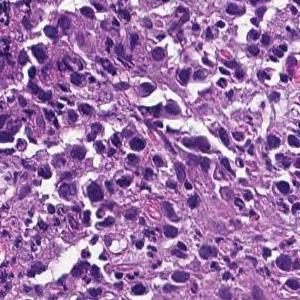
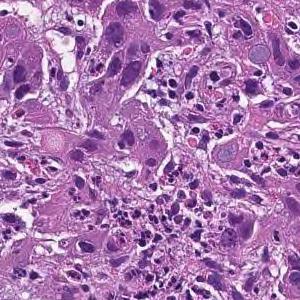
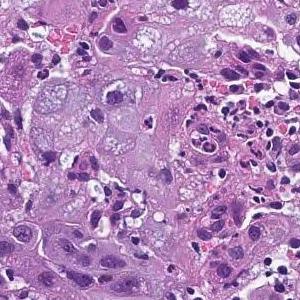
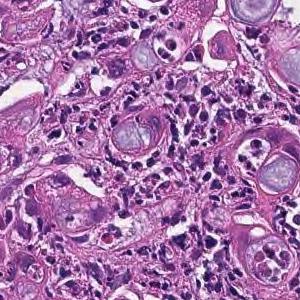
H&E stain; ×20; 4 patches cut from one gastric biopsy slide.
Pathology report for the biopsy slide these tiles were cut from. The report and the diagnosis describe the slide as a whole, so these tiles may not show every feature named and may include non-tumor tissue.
The superficial epithelium shows a large sheet-like shape, and some tumor tissue infiltrates with small irregular ducts. Poorly differentiated adenocarcinoma, solid-type
Classified as poorly differentiated adenocarcinoma, solid type. This name comes from the Japanese Classification of Gastric Carcinoma; the WHO 2019 classification calls it tubular adenocarcinoma, poorly differentiated.
